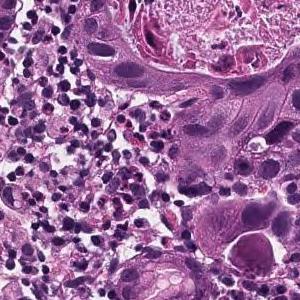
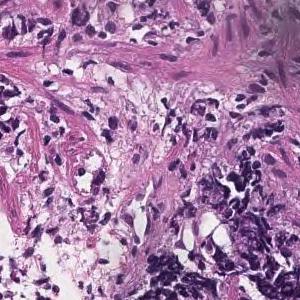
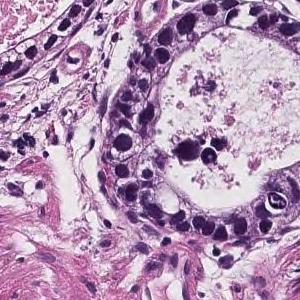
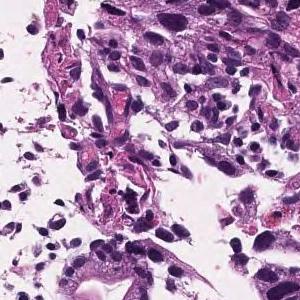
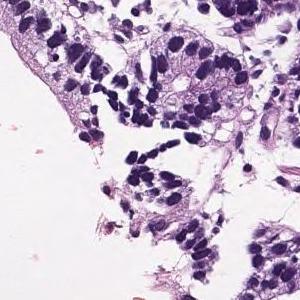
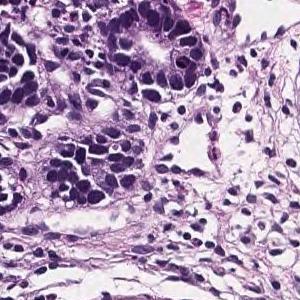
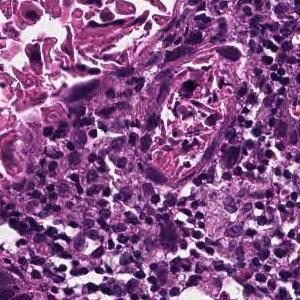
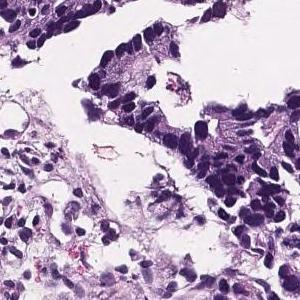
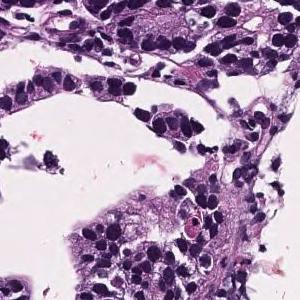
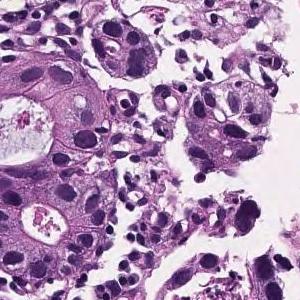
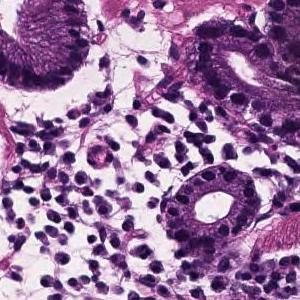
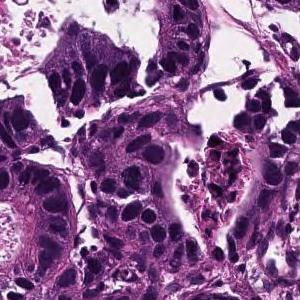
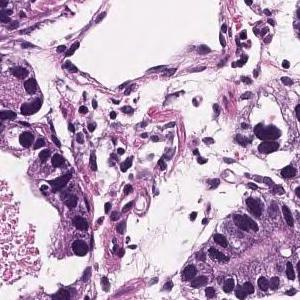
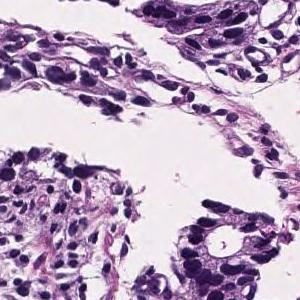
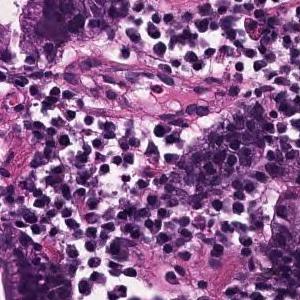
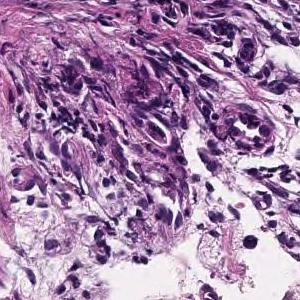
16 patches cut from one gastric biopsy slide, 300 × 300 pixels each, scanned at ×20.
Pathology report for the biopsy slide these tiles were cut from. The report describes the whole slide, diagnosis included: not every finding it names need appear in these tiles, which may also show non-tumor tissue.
In the superficial epithelium, tumor tissue that invades by forming medium-sized to small, irregular ducts is observed. Well differentiated tubular adenocarcinoma.
